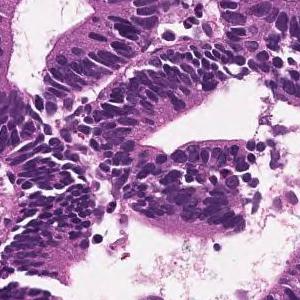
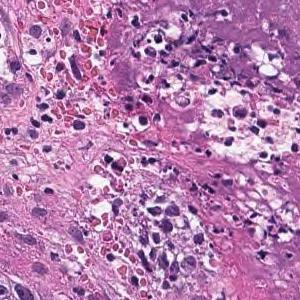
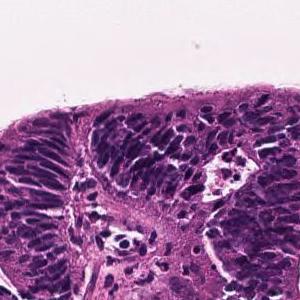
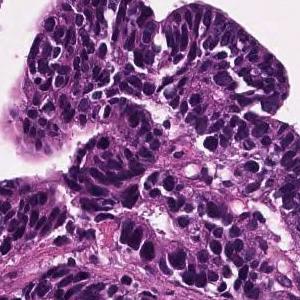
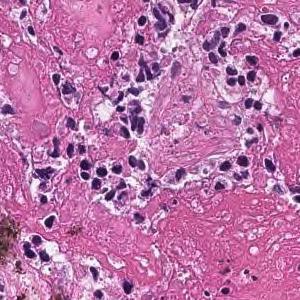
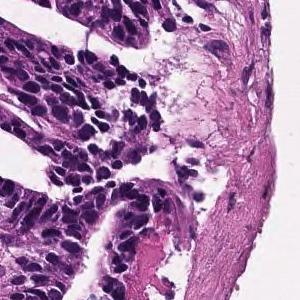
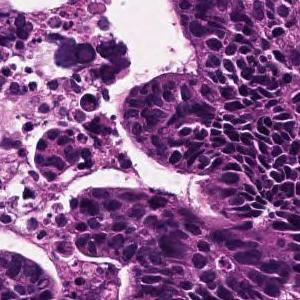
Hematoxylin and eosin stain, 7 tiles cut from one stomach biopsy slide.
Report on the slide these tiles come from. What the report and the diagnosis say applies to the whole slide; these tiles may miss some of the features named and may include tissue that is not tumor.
In the superficial epithelium, tumor tissue that invades by forming medium-sized to small, irregular ducts is observed. Well differentiated tubular adenocarcinoma.
